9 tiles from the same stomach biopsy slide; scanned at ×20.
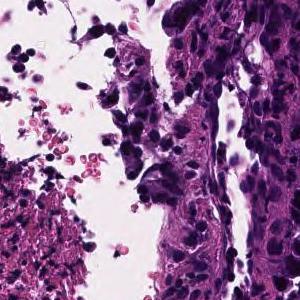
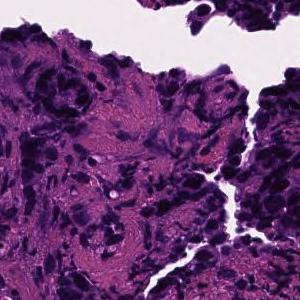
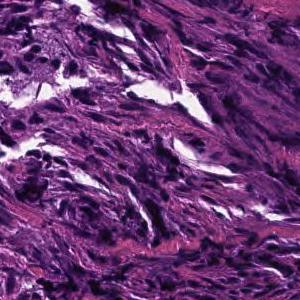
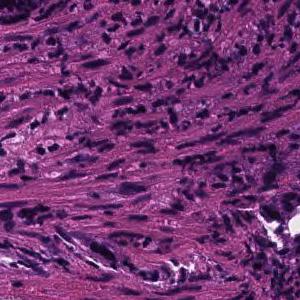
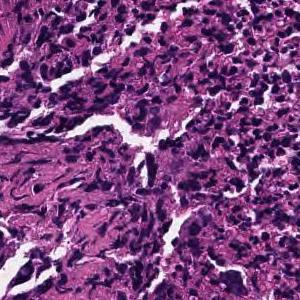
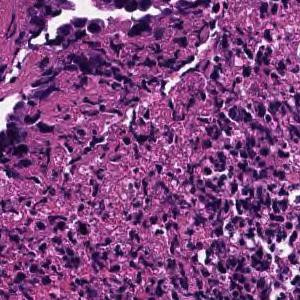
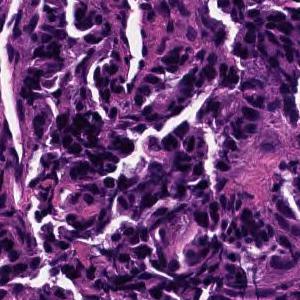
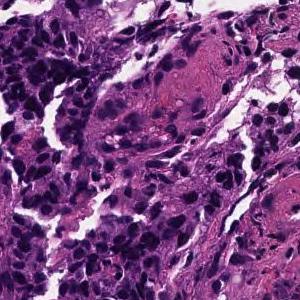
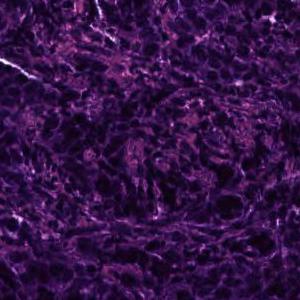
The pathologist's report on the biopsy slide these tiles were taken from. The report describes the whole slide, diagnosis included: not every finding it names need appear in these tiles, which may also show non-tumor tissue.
In the superficial epithelium, tumor tissue that invades by forming medium-sized to small, irregular ducts is observed. moderately differentiated tubular adenocarcinoma.
